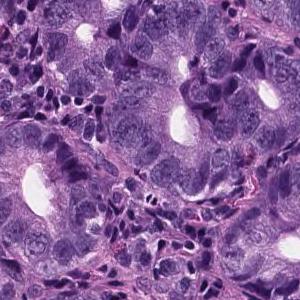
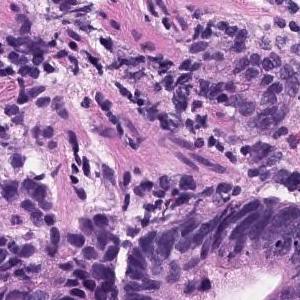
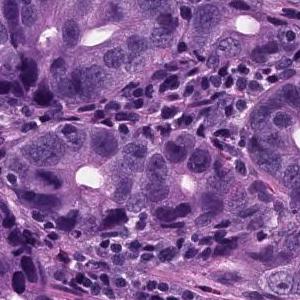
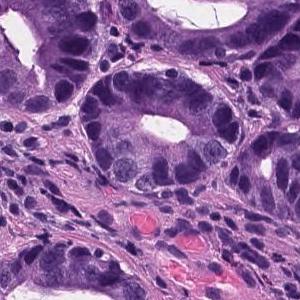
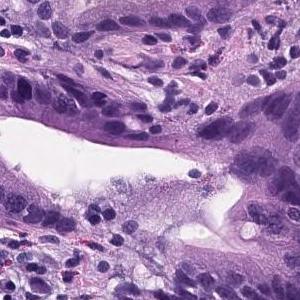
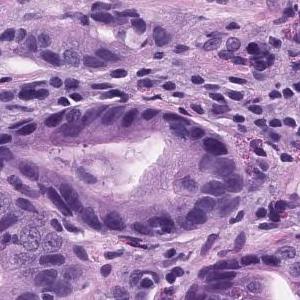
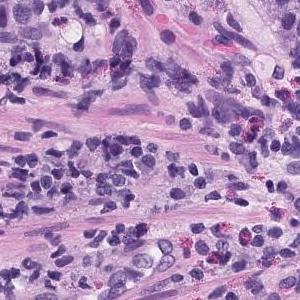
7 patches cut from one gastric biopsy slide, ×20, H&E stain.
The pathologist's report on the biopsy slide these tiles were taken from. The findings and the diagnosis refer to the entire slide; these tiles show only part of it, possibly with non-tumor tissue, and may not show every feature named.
Tumor tissue consisting of medium-sized and irregular ducts is observed infiltrating in the superficial epithelium. Tumor cells are highly columnar, with nuclei aligned basolaterally and polarized. Well differentiated tubular adenocarcinoma.
